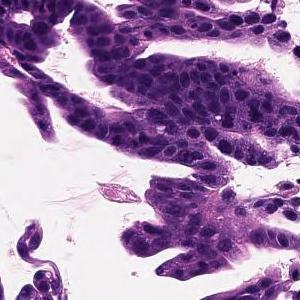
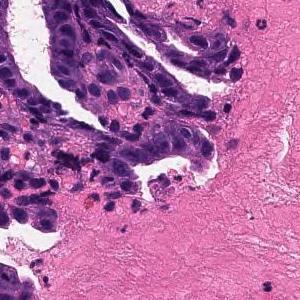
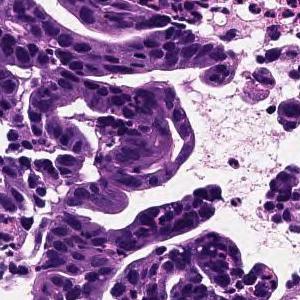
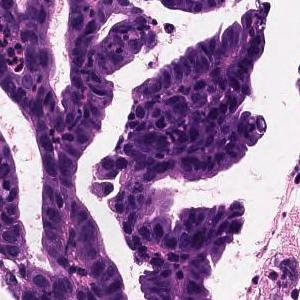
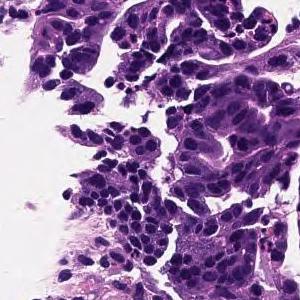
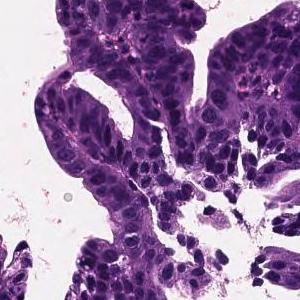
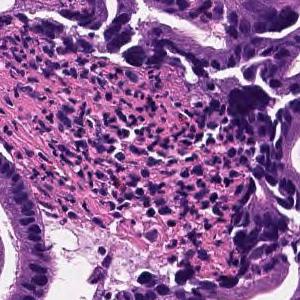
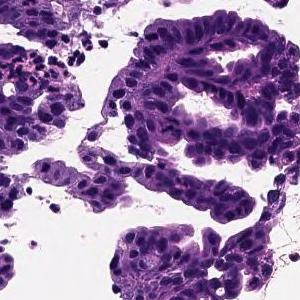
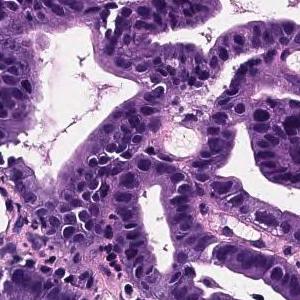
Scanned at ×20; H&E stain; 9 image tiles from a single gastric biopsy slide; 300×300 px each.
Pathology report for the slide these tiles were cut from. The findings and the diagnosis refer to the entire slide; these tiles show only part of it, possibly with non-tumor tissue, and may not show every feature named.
Tumor cells are large, highly columnar, large club-shaped nuclei, and are associated with chromatin aggregation. Papillary adenocarcinoma.
